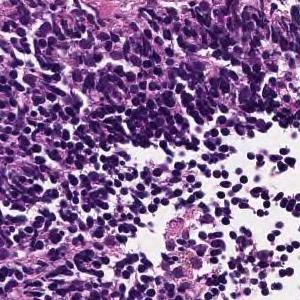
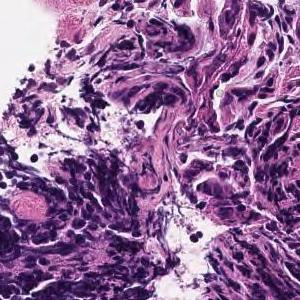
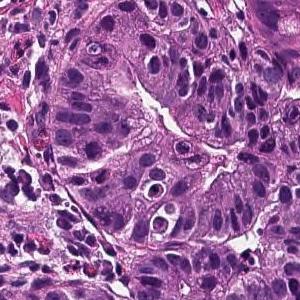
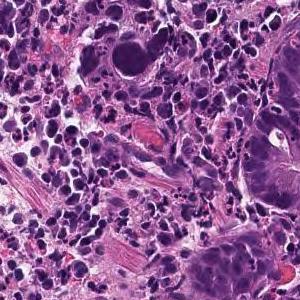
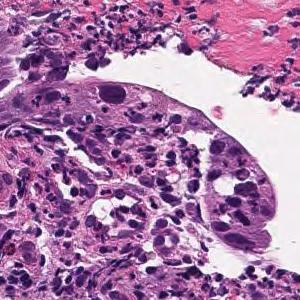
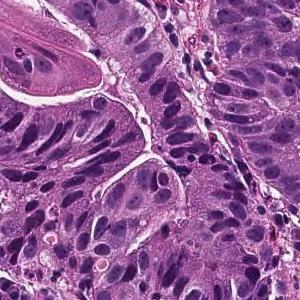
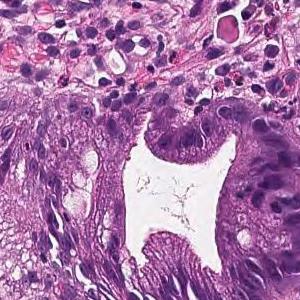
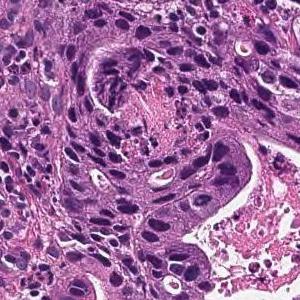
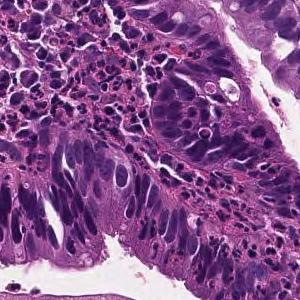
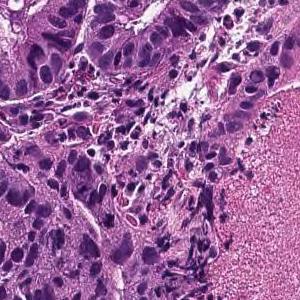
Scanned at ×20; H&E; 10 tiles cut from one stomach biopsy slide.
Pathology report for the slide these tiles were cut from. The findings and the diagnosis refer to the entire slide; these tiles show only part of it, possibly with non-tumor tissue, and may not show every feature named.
From the superficial epithelium to the muscularis mucosae, tumor tissue consisting of medium-sized and irregular glandular ducts infiltrating is observed. Well differentiated tubular adenocarcinoma
